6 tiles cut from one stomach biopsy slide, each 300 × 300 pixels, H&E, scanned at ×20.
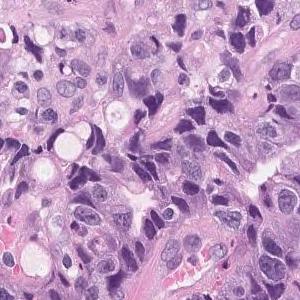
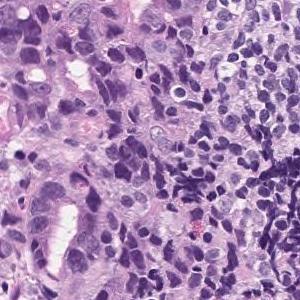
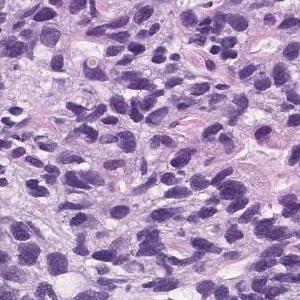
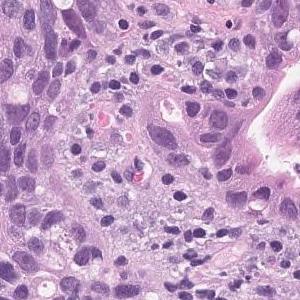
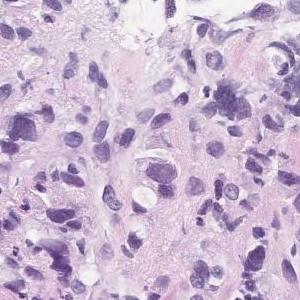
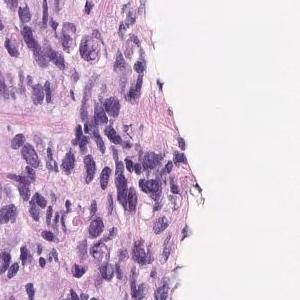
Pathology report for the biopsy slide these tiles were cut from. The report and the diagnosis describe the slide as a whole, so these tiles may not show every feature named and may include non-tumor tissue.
Tumor tissue consisting of medium-sized, cord-like or irregular glandular infiltration is observed in the superficial epithelium. Poorly differentiated adenocarcinoma, non-solid type or moderately differentiated tubular adenocarcinoma
Dataset label: poorly differentiated adenocarcinoma, non-solid type.
The term "non-solid type" comes from the Japanese Classification of Gastric Carcinoma.
